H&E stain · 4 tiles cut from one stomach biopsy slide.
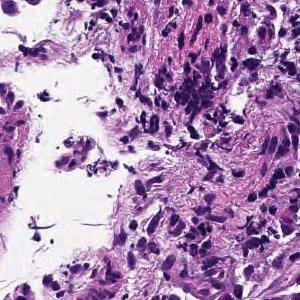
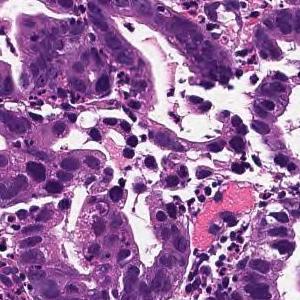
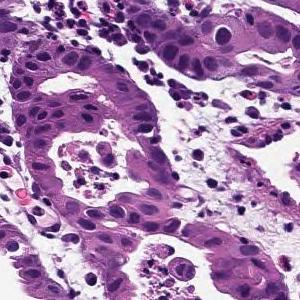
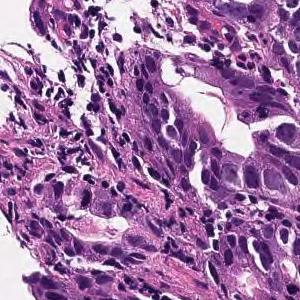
Pathology report for the slide these tiles were cut from. Both the report and the diagnosis are for the whole slide: these tiles need not show every feature named, and some of the tissue shown may not be tumor.
In the superficial epithelium, tumor tissue that invades by forming medium-sized to small, irregular ducts is observed. moderately differentiated tubular adenocarcinoma.
